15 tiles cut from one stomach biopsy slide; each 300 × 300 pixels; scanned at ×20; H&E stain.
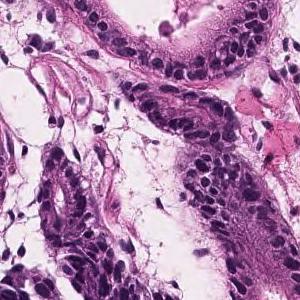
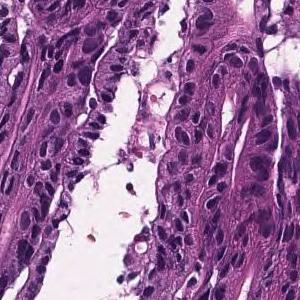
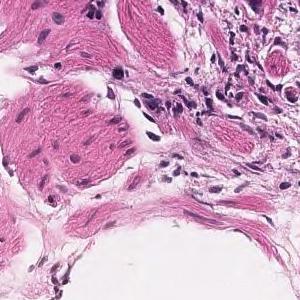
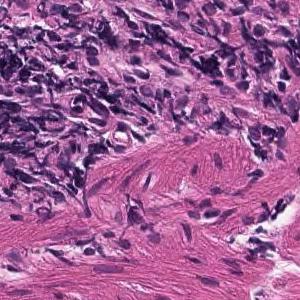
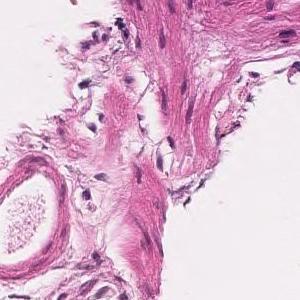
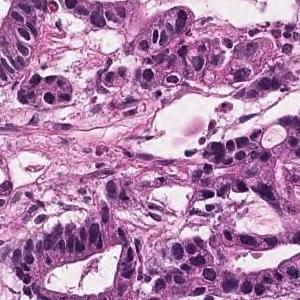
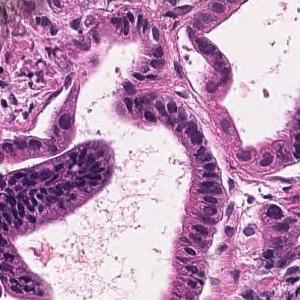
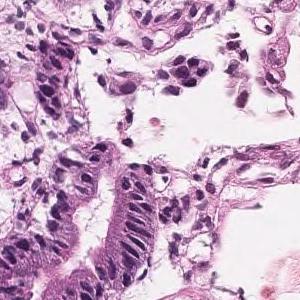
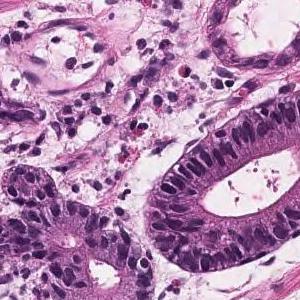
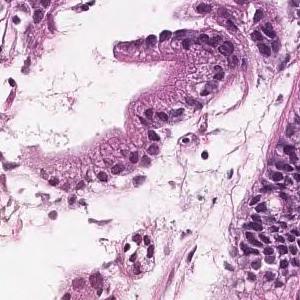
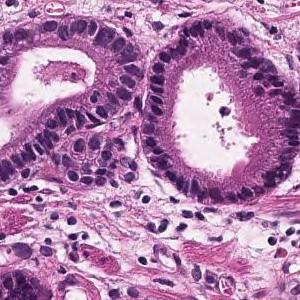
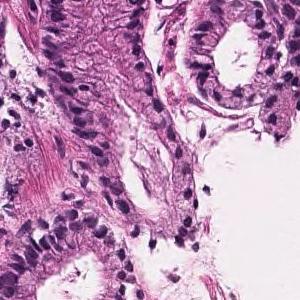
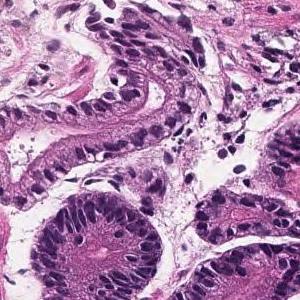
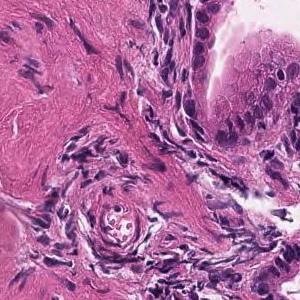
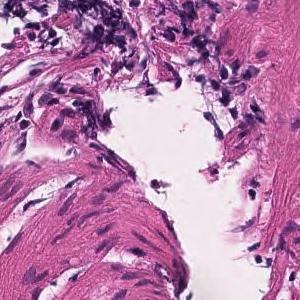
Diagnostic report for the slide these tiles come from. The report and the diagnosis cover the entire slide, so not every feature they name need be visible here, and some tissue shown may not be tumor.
Tumor tissue with atypical epithelium showing irregular ductal or sieving ductal structure and proliferating is observed. Well to moderately differentiated tubular adenocarcinoma (well differentiated tubular adenocarcinoma-moderately differentiated tubular adenocarcinoma)
Tumor subtype: well to moderately differentiated tubular adenocarcinoma.
